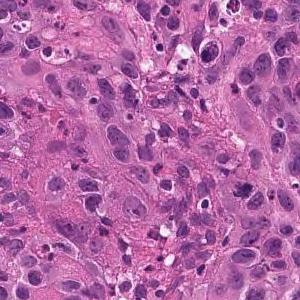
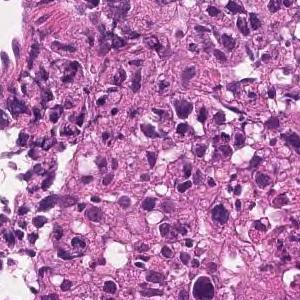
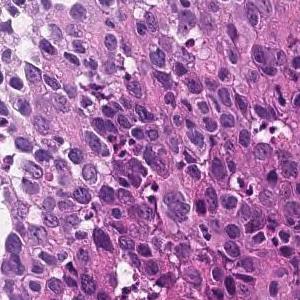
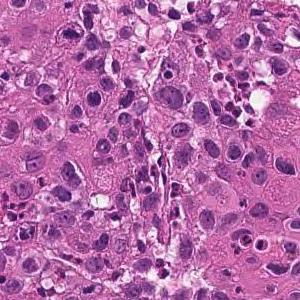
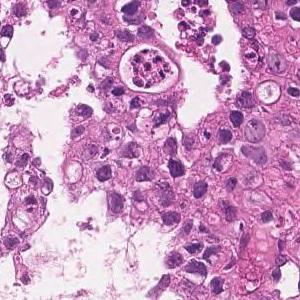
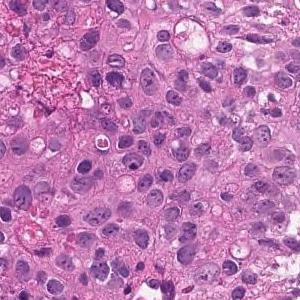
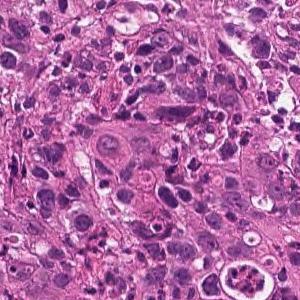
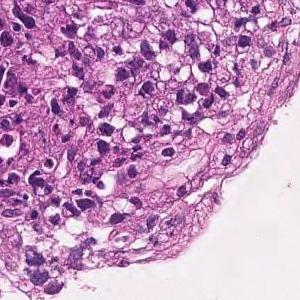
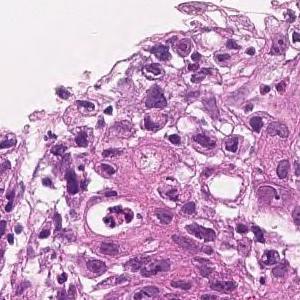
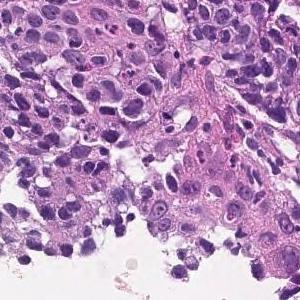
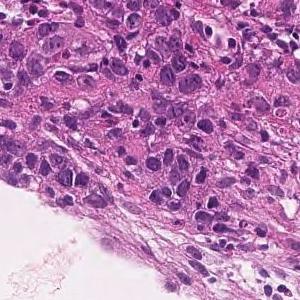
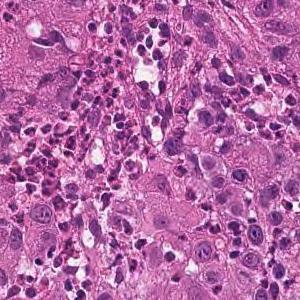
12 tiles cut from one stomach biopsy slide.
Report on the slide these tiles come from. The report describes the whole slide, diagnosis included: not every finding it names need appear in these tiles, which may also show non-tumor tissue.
The superficial epithelium shows a large sheet-like shape, and some tumor tissue infiltrates with small irregular ducts. Poorly differentiated adenocarcinoma, solid-type
Histological subtype: Poorly differentiated adenocarcinoma, solid type (Japanese Classification of Gastric Carcinoma). The WHO 2019 equivalent is tubular adenocarcinoma, poorly differentiated.
